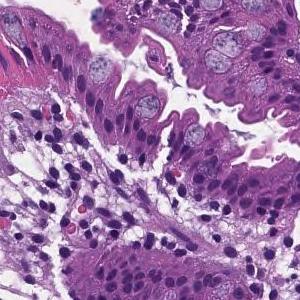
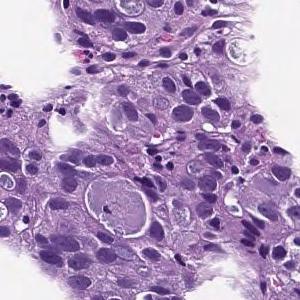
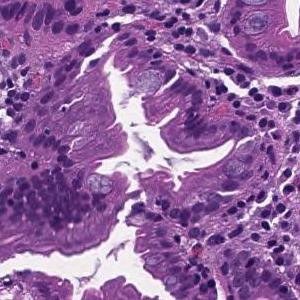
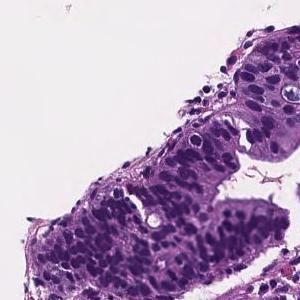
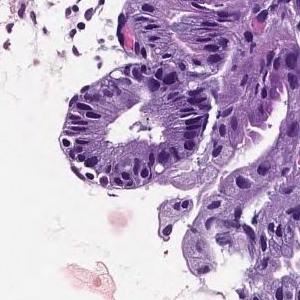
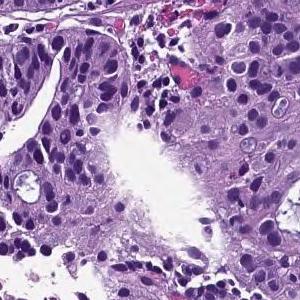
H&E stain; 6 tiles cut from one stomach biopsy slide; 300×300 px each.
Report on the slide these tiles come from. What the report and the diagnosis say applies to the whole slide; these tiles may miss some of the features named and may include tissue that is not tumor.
In the superficial epithelium, tumor tissue that invades by forming medium-sized to small, irregular ducts is observed. moderately differentiated tubular adenocarcinoma.
